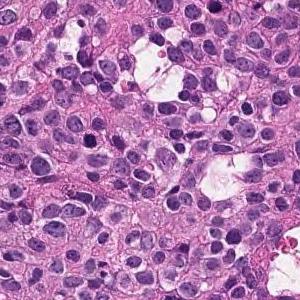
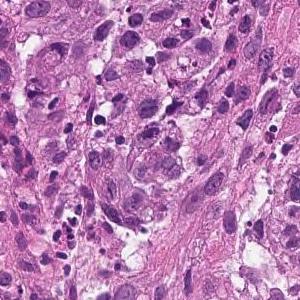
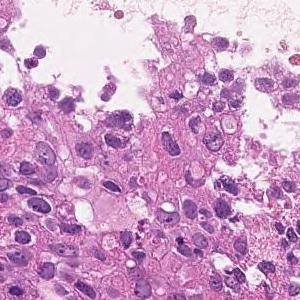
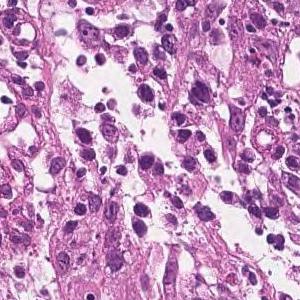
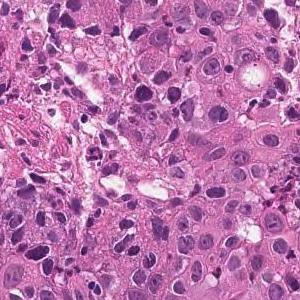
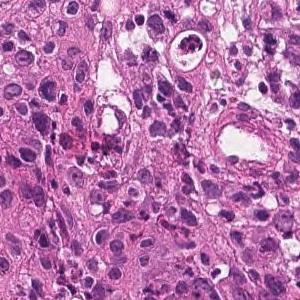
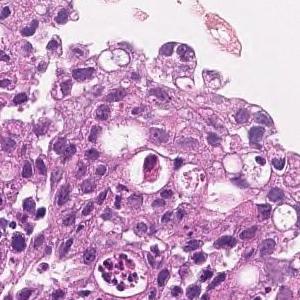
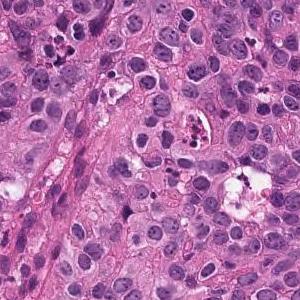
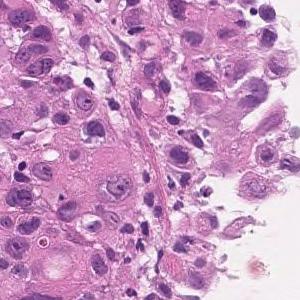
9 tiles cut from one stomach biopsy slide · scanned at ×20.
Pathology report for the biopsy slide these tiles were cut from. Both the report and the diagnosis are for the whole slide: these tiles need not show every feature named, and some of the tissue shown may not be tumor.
The superficial epithelium shows a large sheet-like shape, and some tumor tissue infiltrates with small irregular ducts. Poorly differentiated adenocarcinoma, solid-type
Histologic type: Poorly differentiated adenocarcinoma, solid type (Japanese Classification of Gastric Carcinoma). The WHO 2019 equivalent is tubular adenocarcinoma, poorly differentiated.
